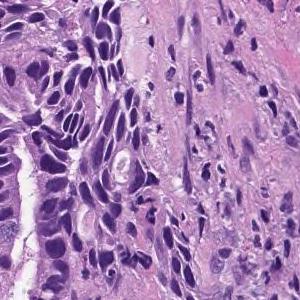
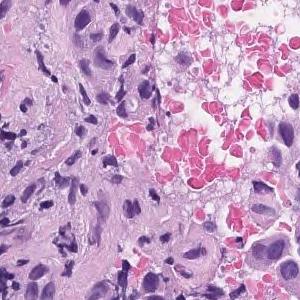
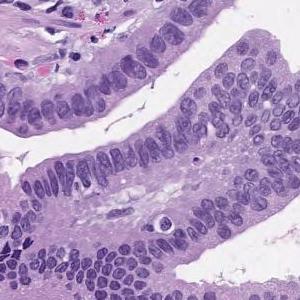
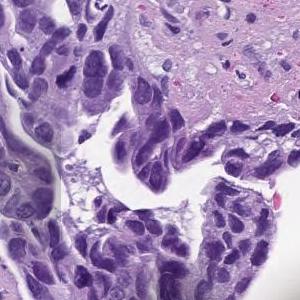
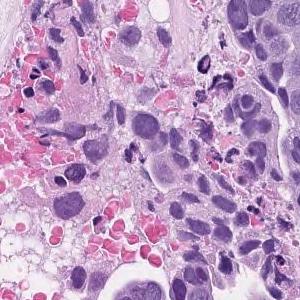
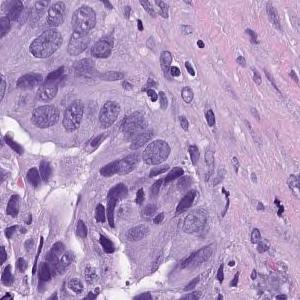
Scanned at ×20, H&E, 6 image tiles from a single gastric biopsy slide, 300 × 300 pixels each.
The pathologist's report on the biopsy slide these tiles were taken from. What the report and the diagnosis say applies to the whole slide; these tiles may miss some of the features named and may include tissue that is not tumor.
In the superficial epithelium, tumor tissue that invades by forming medium-sized to small, irregular ducts is observed. moderately differentiated tubular adenocarcinoma.
